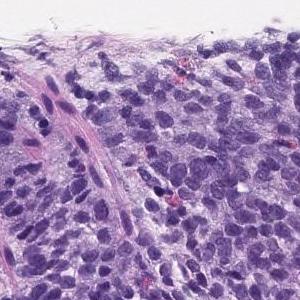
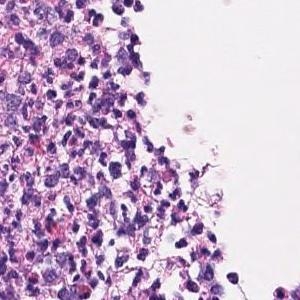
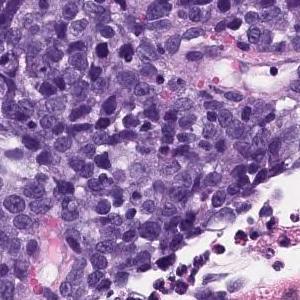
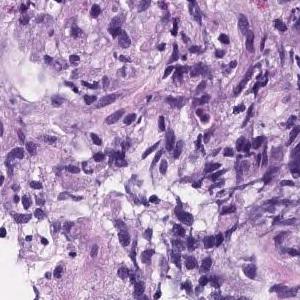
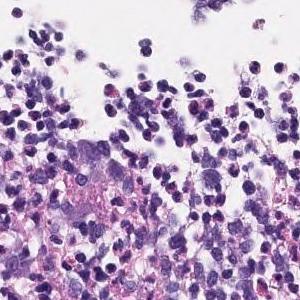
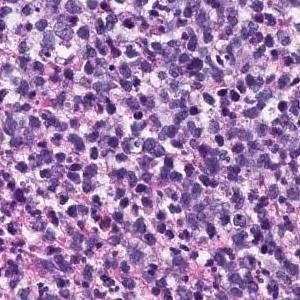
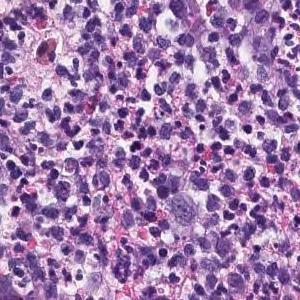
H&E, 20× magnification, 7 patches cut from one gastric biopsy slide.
Pathology report for the slide these tiles were cut from. The report describes the whole slide, diagnosis included: not every finding it names need appear in these tiles, which may also show non-tumor tissue.
The superficial epithelium shows a large sheet-like shape, and some tumor tissue infiltrates with small irregular ducts. Poorly differentiated adenocarcinoma, solid-type
Subtype: Poorly differentiated adenocarcinoma, solid type (Japanese Classification of Gastric Carcinoma). The WHO 2019 equivalent is tubular adenocarcinoma, poorly differentiated.
